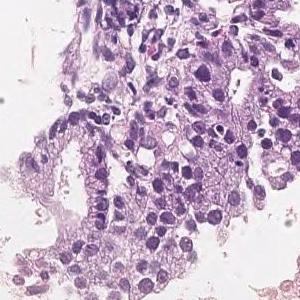
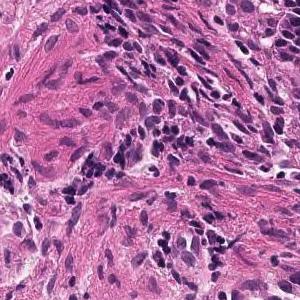
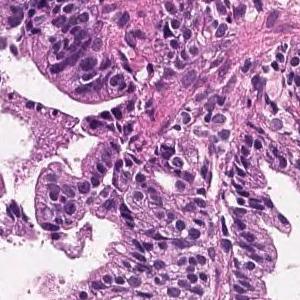
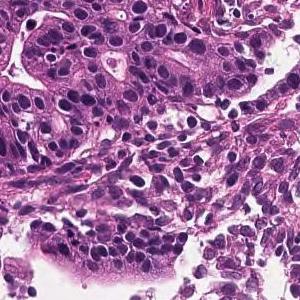
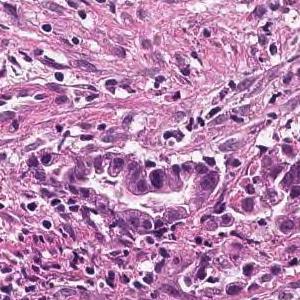
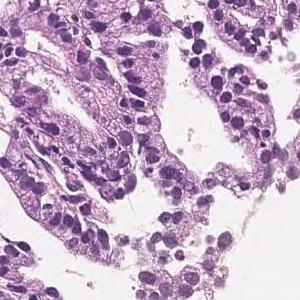
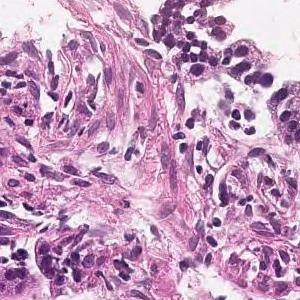
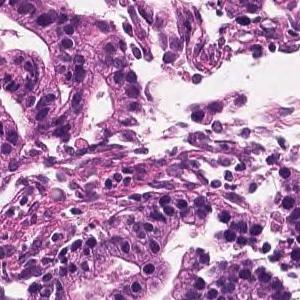
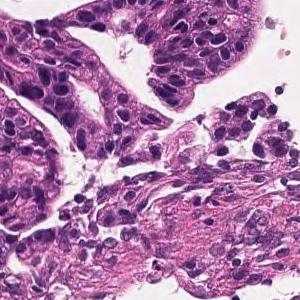
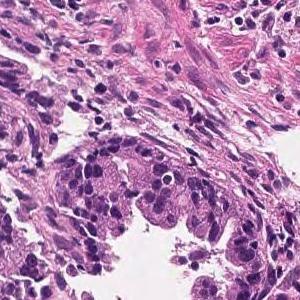
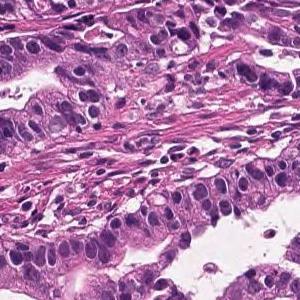
11 tiles cut from one stomach biopsy slide, scanned at ×20.
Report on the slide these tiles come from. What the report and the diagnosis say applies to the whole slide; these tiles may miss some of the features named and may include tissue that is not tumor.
Tumor cells are large, highly columnar, large club-shaped nuclei, and are associated with chromatin aggregation. Papillary adenocarcinoma.
